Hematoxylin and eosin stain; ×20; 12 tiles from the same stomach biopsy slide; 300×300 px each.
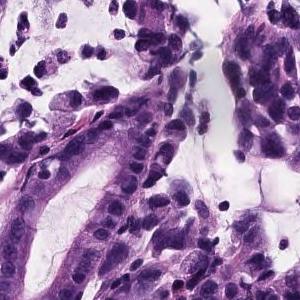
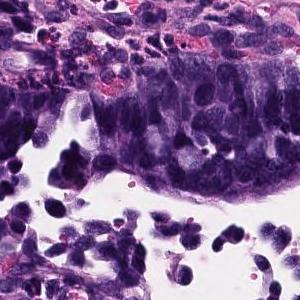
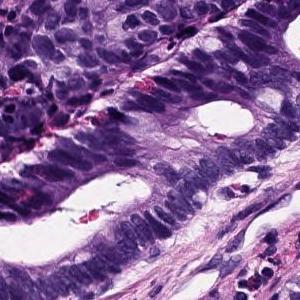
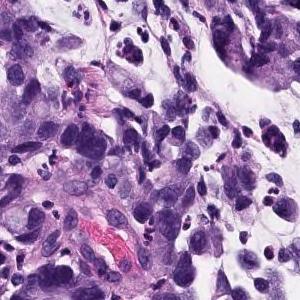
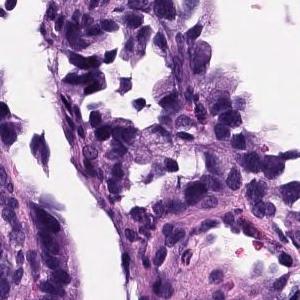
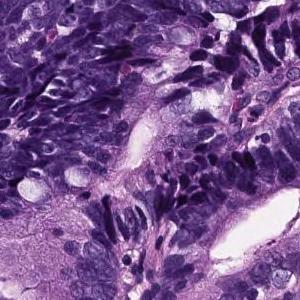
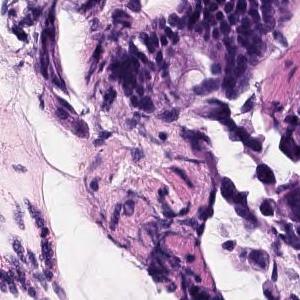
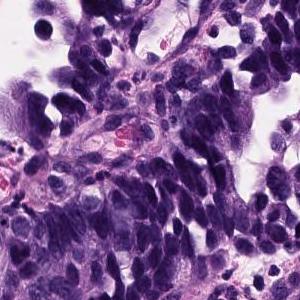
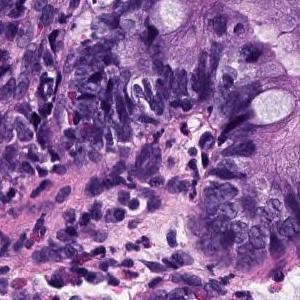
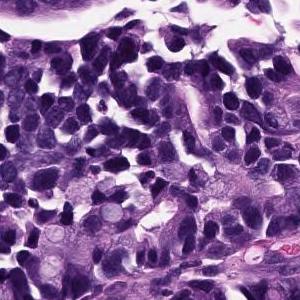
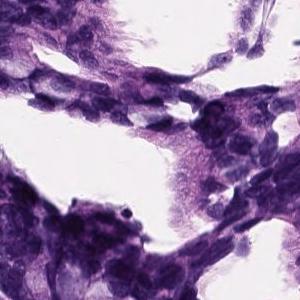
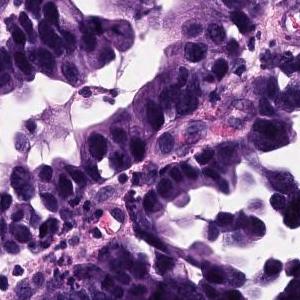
Pathology report for the biopsy slide these tiles were cut from. The report and the diagnosis cover the entire slide, so not every feature they name need be visible here, and some tissue shown may not be tumor.
Atypical epithelium proliferating showing villus construction and irregular gland duct construction is observed. Moderately differentiated tubular adenocarcinoma.
